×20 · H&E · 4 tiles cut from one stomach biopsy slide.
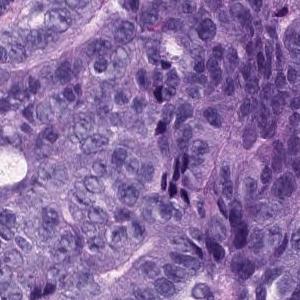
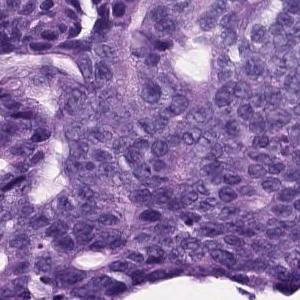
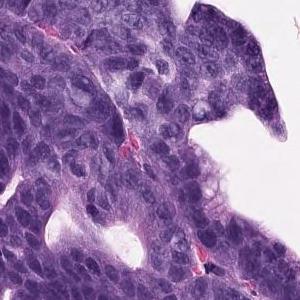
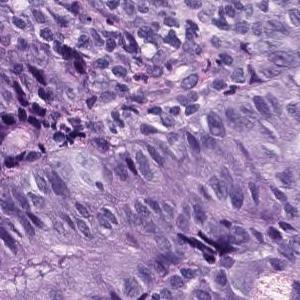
Report on the slide these tiles come from. The report describes the whole slide, diagnosis included: not every finding it names need appear in these tiles, which may also show non-tumor tissue.
In the superficial epithelium, tumor tissue that invades by forming medium-sized to small, irregular ducts is observed. Well to moderately differentiated tubular adenocarcinoma.
